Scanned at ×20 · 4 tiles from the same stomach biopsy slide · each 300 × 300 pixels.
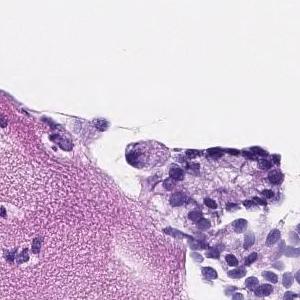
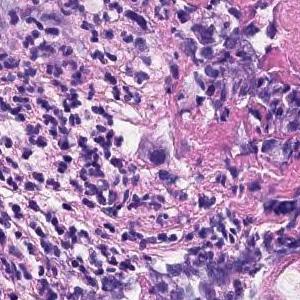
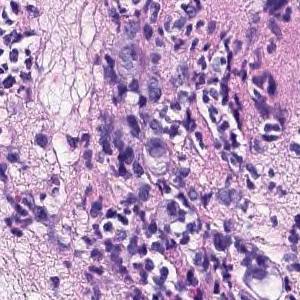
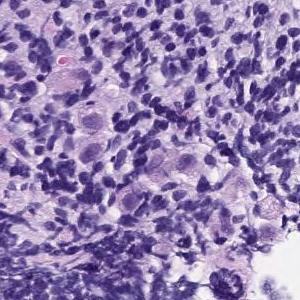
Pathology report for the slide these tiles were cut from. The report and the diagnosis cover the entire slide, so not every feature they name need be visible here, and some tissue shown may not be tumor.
A large atypical epithelium lacking ductal construction with swelling of the nucleus is seen to proliferate solidly. Poorly differentiated adenocarcinoma.
Subtype: Poorly differentiated adenocarcinoma, non-solid type.
"Non-solid type" is a category of the Japanese Classification of Gastric Carcinoma.
